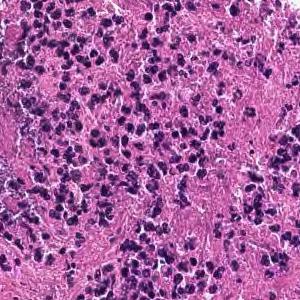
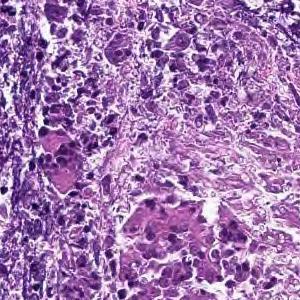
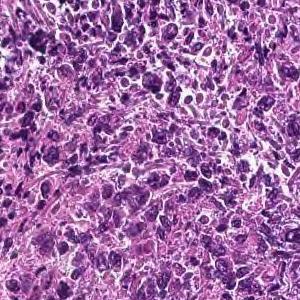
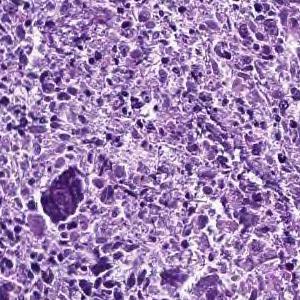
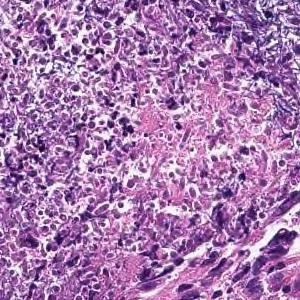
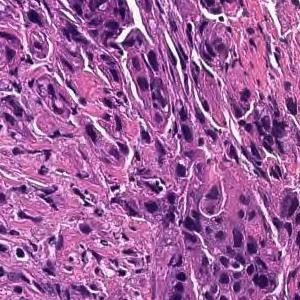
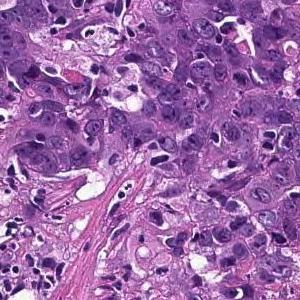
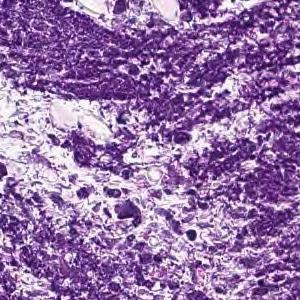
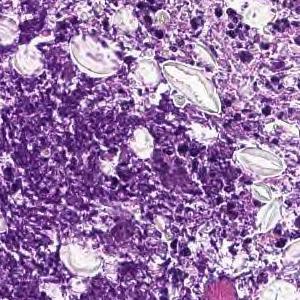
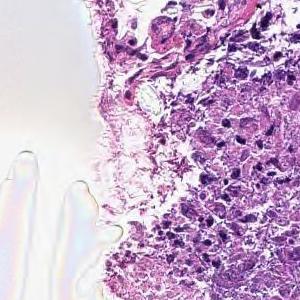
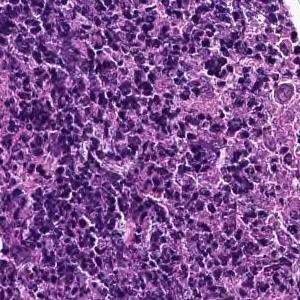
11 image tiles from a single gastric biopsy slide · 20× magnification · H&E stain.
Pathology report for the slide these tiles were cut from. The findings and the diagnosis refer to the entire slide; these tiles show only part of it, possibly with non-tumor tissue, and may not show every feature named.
Cancers with polygonal nuclei do not show glandular formation and are densely, in part, cord-like and proliferate. Poorly differentiated adenocarcinoma
Subtype: Poorly differentiated adenocarcinoma, non-solid type.
The non-solid type named here is a Japanese Classification of Gastric Carcinoma category.
